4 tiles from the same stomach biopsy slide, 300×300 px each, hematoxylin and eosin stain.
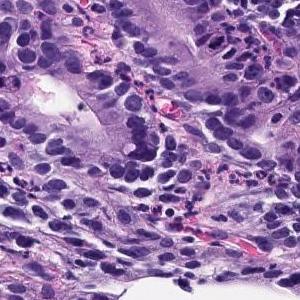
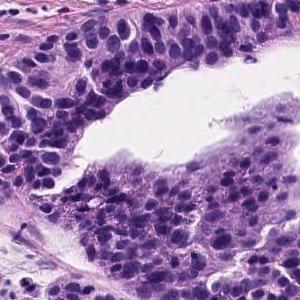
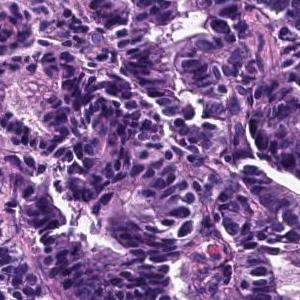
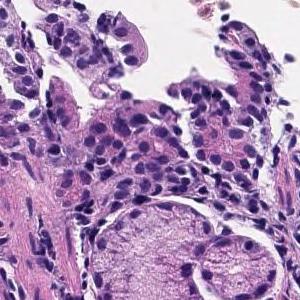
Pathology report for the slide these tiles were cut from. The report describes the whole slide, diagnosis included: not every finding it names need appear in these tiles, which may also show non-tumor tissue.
The superficial tumors shows large papillary structures or large and small ducts and infiltrates. Papillary adenocarcinoma.
